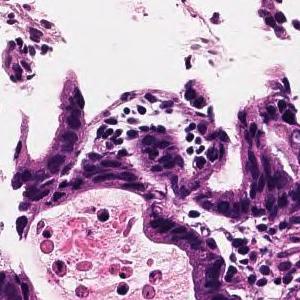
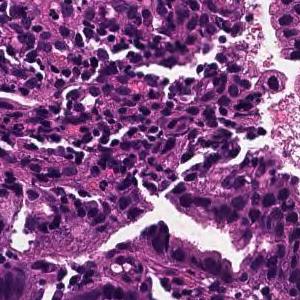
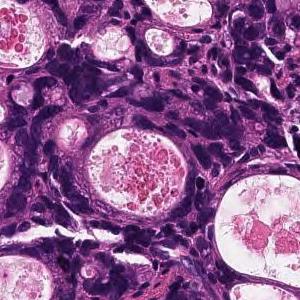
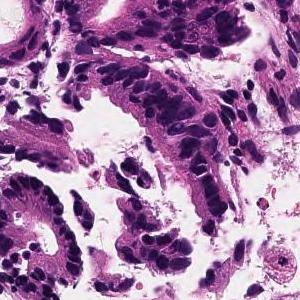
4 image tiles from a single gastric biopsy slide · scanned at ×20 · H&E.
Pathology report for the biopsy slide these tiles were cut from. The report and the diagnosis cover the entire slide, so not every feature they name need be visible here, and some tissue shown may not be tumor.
In the superficial epithelium, tumor tissue that invades by forming medium-sized to small, irregular ducts is observed. moderately differentiated tubular adenocarcinoma.
